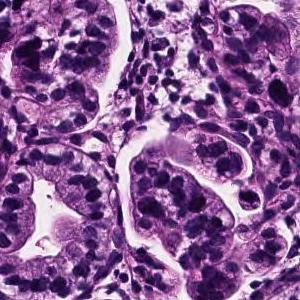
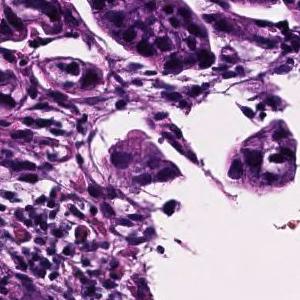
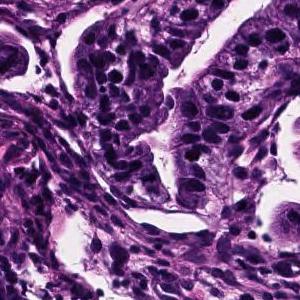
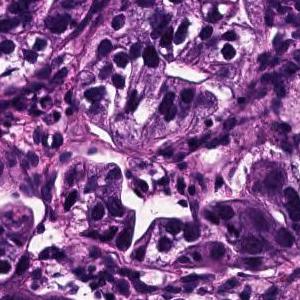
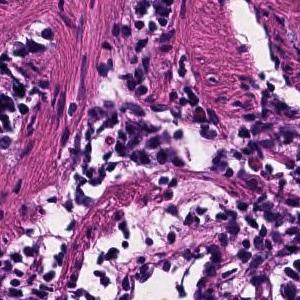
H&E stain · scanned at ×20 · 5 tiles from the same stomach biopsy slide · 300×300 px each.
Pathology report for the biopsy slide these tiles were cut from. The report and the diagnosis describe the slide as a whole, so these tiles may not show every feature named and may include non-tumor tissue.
Tumor tissue consisting of cord-like or small, irregular glandular ducts fused and infiltrated is observed in the superficial epithelium. Poorly differentiated adenocarcinoma, non-solid type
"Non-solid type" is a category of the Japanese Classification of Gastric Carcinoma.
